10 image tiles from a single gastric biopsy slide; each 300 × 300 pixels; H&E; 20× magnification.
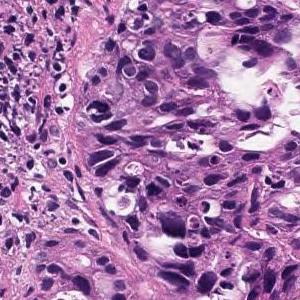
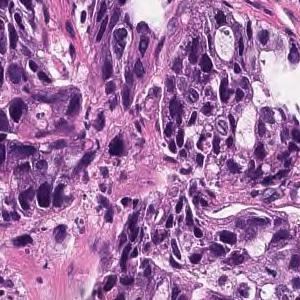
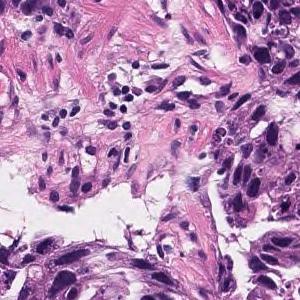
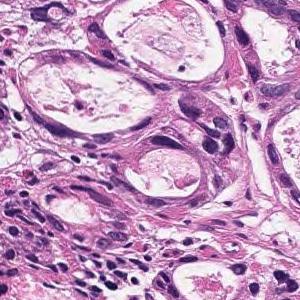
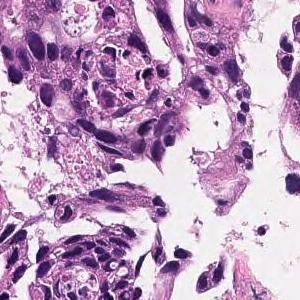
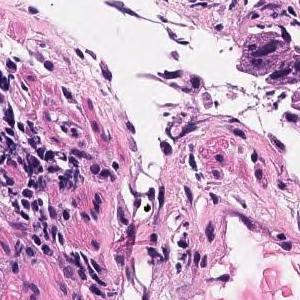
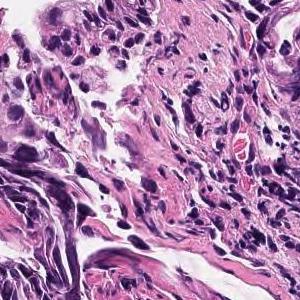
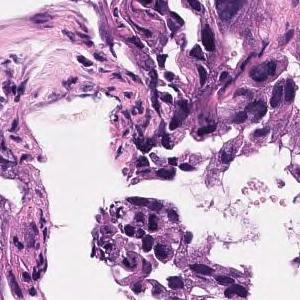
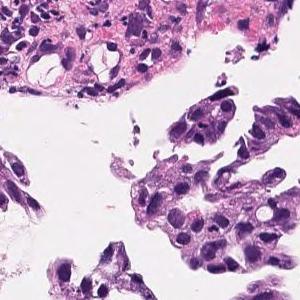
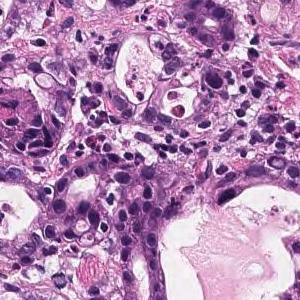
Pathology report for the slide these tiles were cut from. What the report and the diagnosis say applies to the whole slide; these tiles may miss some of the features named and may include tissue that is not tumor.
In the superficial epithelium, tumor tissue that invades by forming medium-sized to small, irregular ducts is observed. Moderately differentiated adenocarcinoma.
Tumor subtype: moderately differentiated tubular adenocarcinoma.
